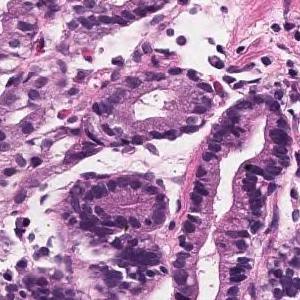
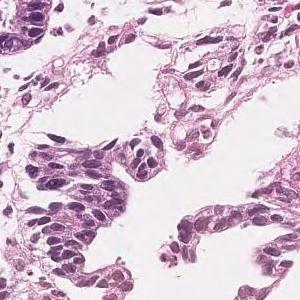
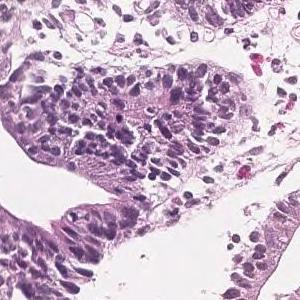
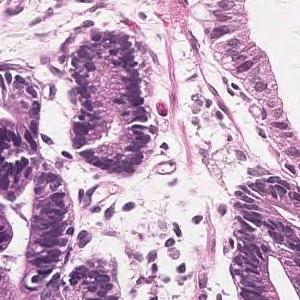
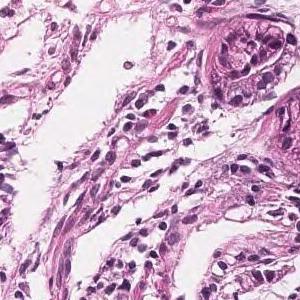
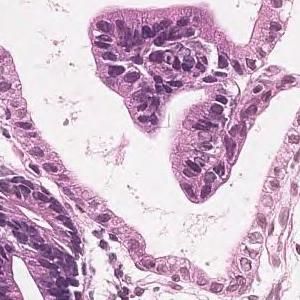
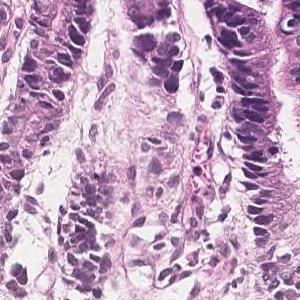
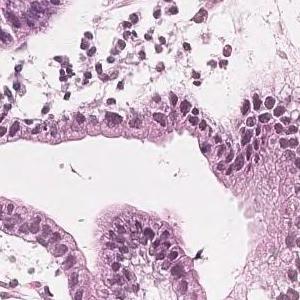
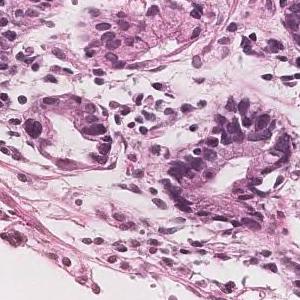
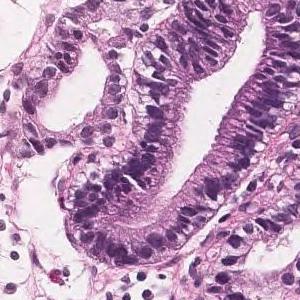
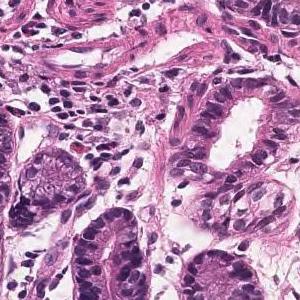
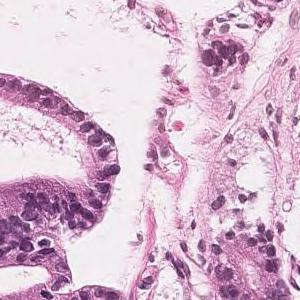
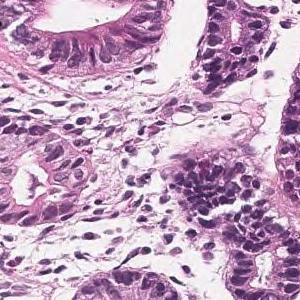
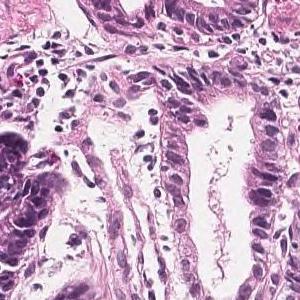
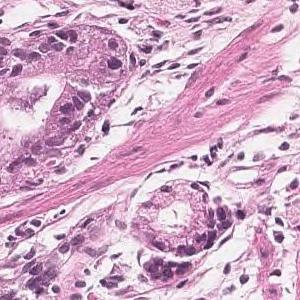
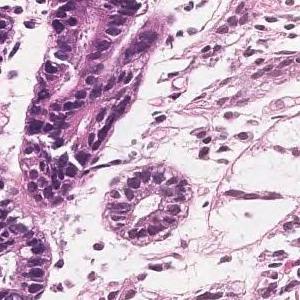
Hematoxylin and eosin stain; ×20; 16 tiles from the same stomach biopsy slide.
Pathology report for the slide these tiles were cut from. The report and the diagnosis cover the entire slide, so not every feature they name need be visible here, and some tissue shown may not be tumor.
Most of the tumor remains in the epithelium and shows a medium-sized circular system or irregular ducts, showing proliferating and developing tumor tissue. Well differentiated tubular adenocarcinoma
